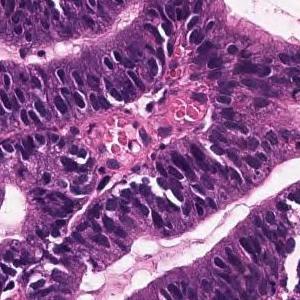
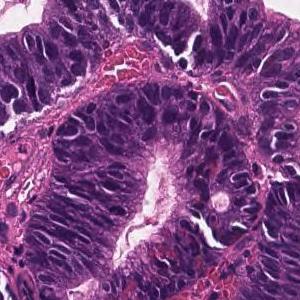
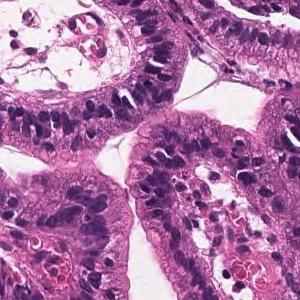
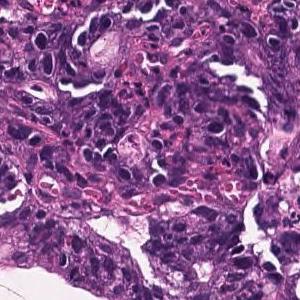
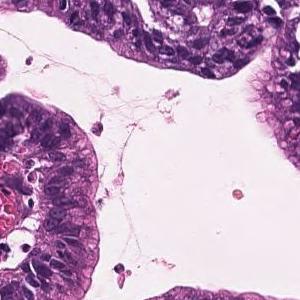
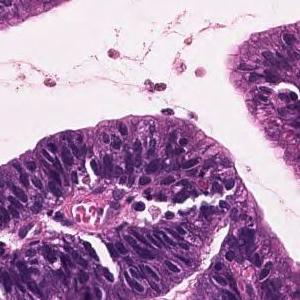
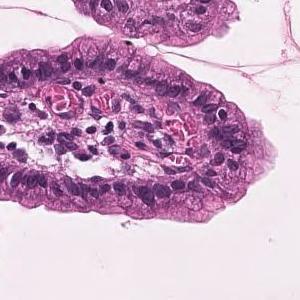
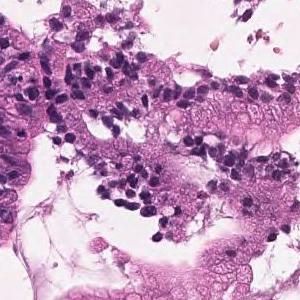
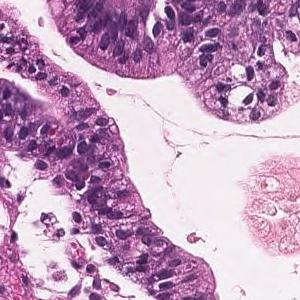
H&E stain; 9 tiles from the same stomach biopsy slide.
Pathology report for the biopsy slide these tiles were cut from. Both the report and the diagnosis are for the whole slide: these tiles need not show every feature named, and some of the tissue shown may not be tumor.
On the superficial epithelium, tumor tissue that infiltrates by forming medium-sized papillary or small irregular ducts is observed. Papillary adenocarcinoma
